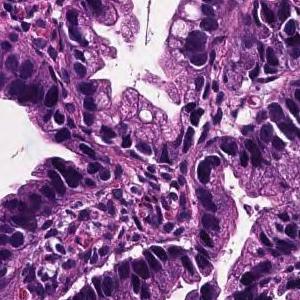
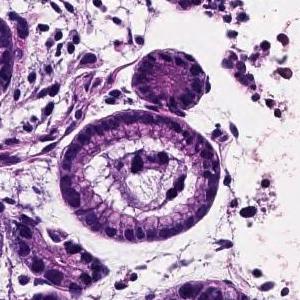
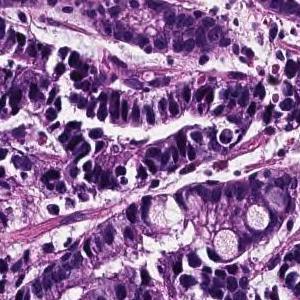
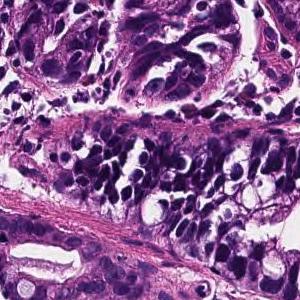
4 tiles cut from one stomach biopsy slide · hematoxylin and eosin stain · ×20.
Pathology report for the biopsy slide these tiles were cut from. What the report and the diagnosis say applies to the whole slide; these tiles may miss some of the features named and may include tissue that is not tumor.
Tumor cells are large, highly columnar, large club-shaped nuclei, and are associated with chromatin aggregation. Papillary adenocarcinoma.
